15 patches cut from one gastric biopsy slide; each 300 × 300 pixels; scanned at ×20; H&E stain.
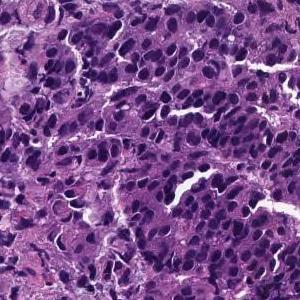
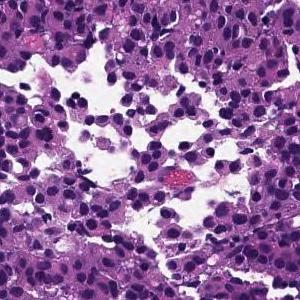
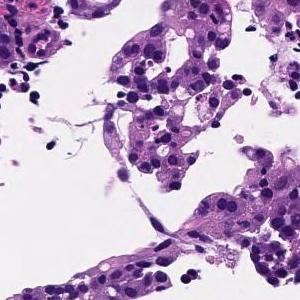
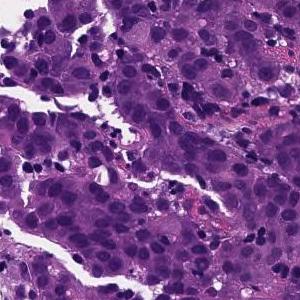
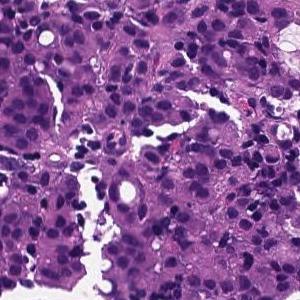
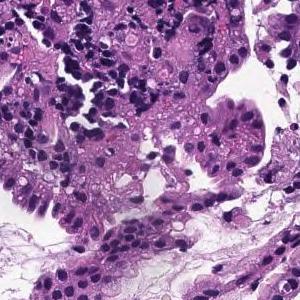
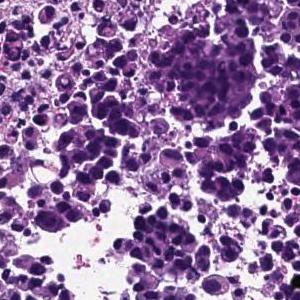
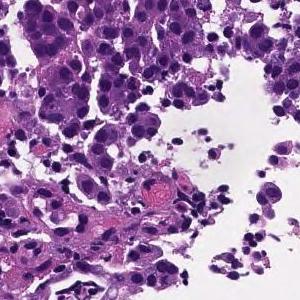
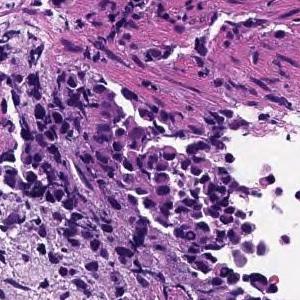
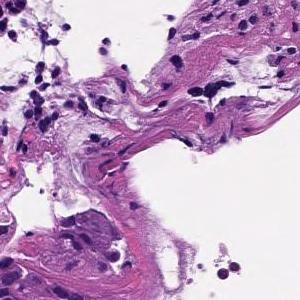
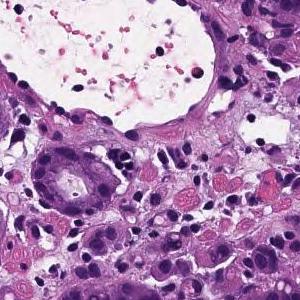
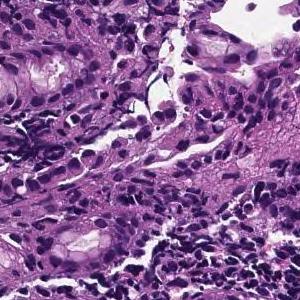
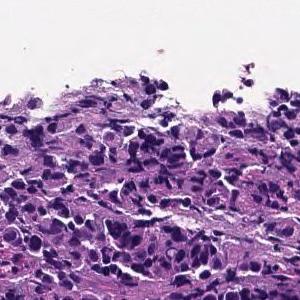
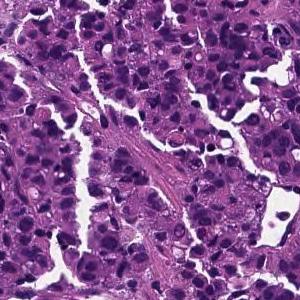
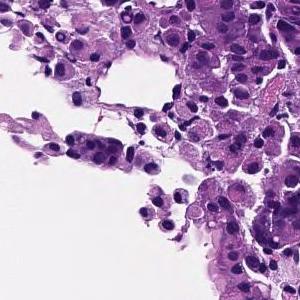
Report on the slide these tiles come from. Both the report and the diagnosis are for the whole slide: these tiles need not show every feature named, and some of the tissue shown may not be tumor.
The superficial epithelium shows a large sheet-like shape, and some tumor tissue infiltrates with small irregular ducts. Poorly differentiated adenocarcinoma, solid-type
Tumor subtype: poorly differentiated adenocarcinoma, solid type. This name comes from the Japanese Classification of Gastric Carcinoma; the WHO 2019 classification calls it tubular adenocarcinoma, poorly differentiated.
